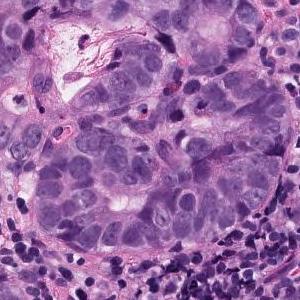
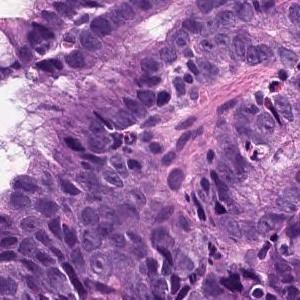
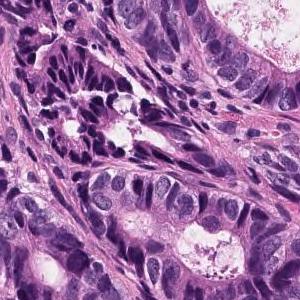
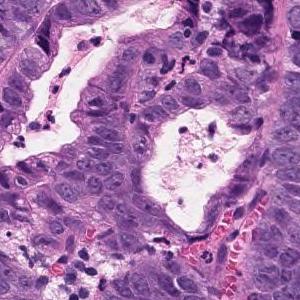
Hematoxylin and eosin stain, 4 image tiles from a single gastric biopsy slide.
Pathology report for the biopsy slide these tiles were cut from. The report describes the whole slide, diagnosis included: not every finding it names need appear in these tiles, which may also show non-tumor tissue.
The swollen atypical epithelium of the nucleus forms an irregular ductal structure and proliferates. moderately differentiated tubular adenocarcinoma
